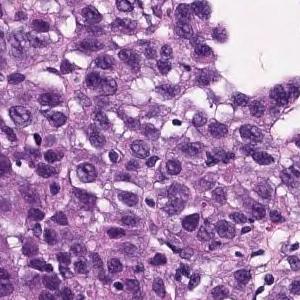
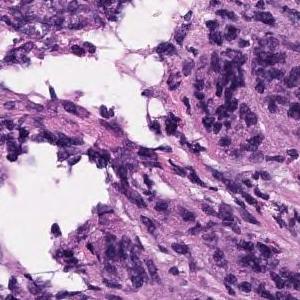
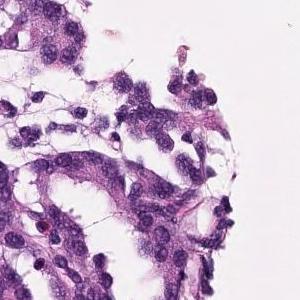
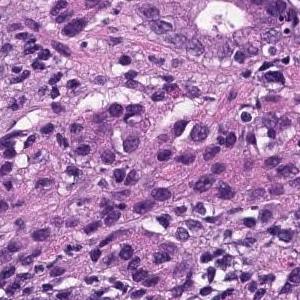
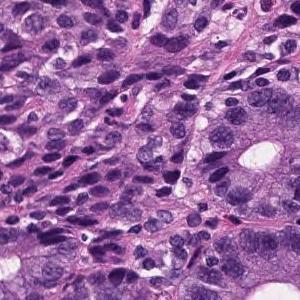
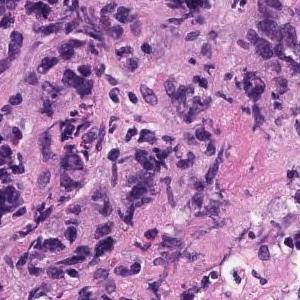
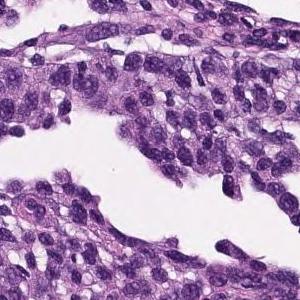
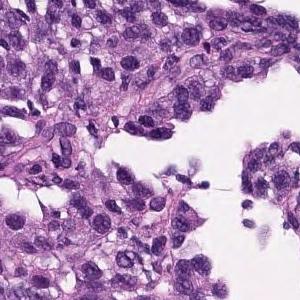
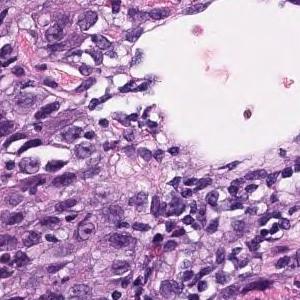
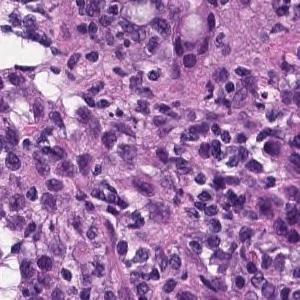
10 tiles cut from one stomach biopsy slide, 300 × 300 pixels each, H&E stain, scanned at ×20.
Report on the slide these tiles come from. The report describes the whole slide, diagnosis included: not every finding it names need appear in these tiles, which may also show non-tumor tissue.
In the superficial epithelium, tumor tissue that invades by forming medium-sized to small, irregular ducts is observed. Moderately differentiated adenocarcinoma.
Tumor subtype: moderately differentiated tubular adenocarcinoma.
